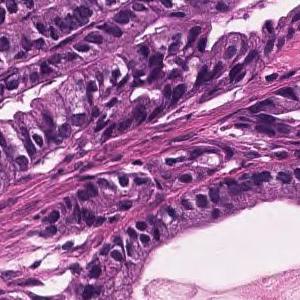
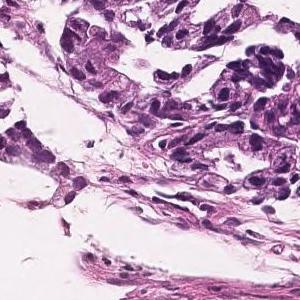
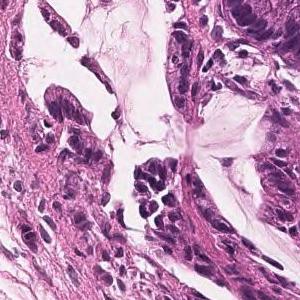
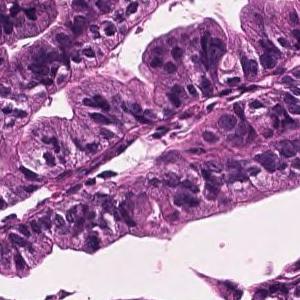
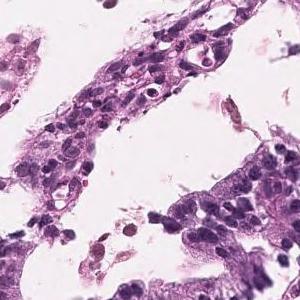
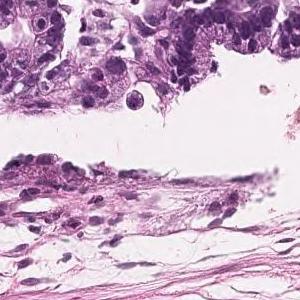
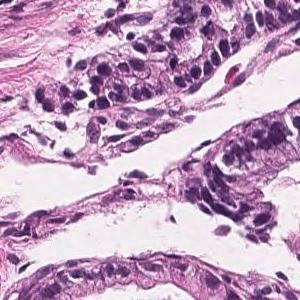
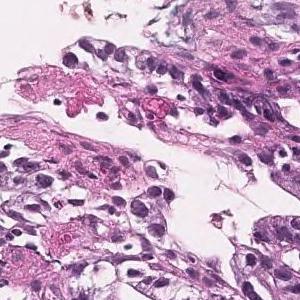
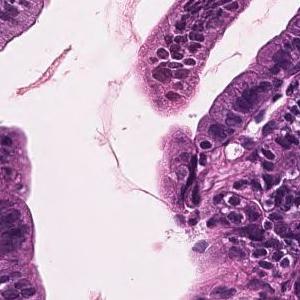
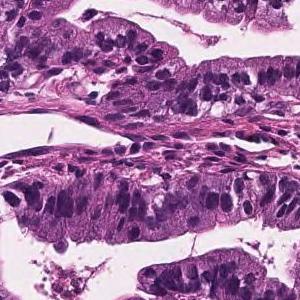
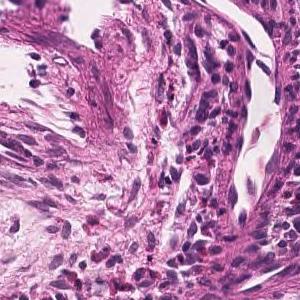
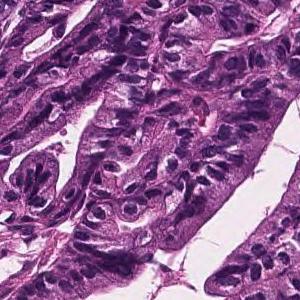
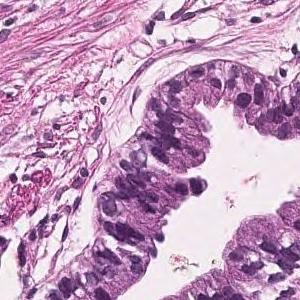
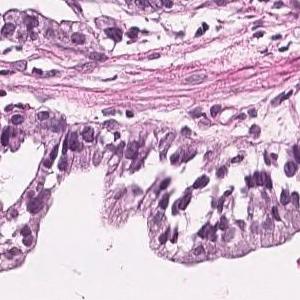
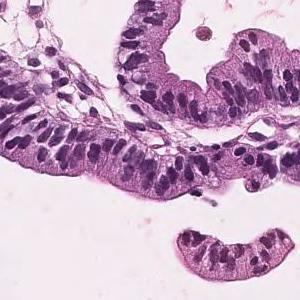
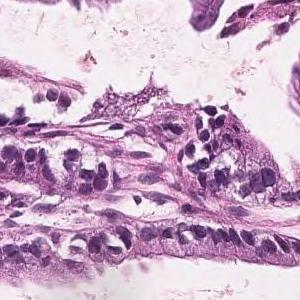
×20, H&E, 16 tiles cut from one stomach biopsy slide, 300 × 300 pixels each.
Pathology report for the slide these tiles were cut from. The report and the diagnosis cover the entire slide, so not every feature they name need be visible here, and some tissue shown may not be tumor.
Tumor cells are large, highly columnar, large club-shaped nuclei, and are associated with chromatin aggregation. Papillary adenocarcinoma.
